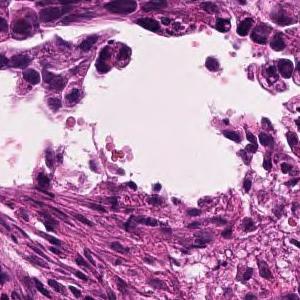
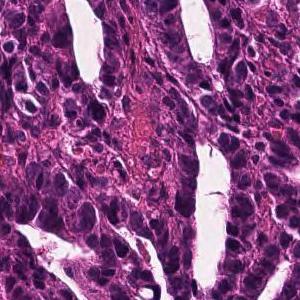
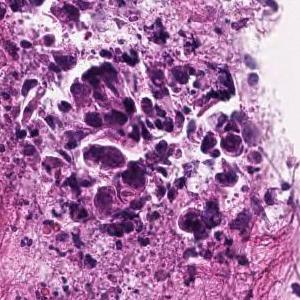
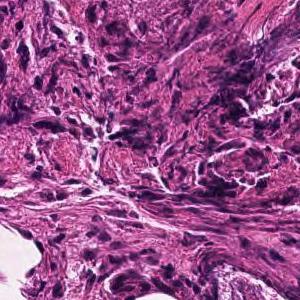
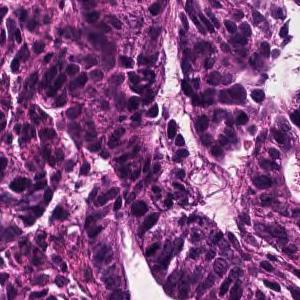
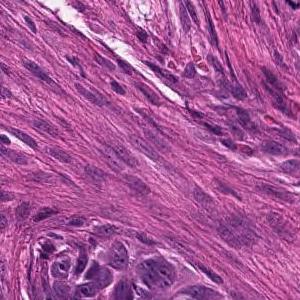
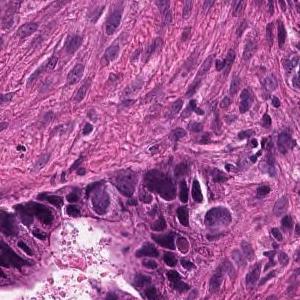
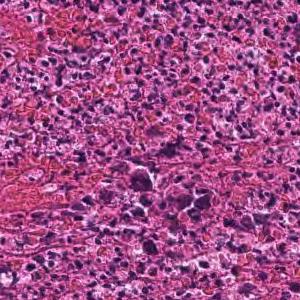
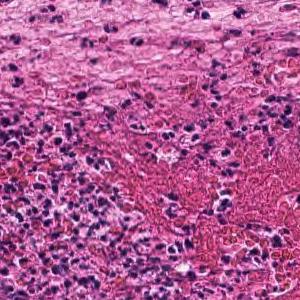
20× magnification, 9 patches cut from one gastric biopsy slide, 300×300 px each.
Pathology report for the slide these tiles were cut from. The report and the diagnosis describe the slide as a whole, so these tiles may not show every feature named and may include non-tumor tissue.
In the superficial epithelium, tumor tissue that invades by forming medium-sized to small, irregular ducts is observed. moderately differentiated tubular adenocarcinoma.
